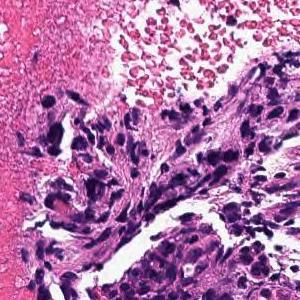
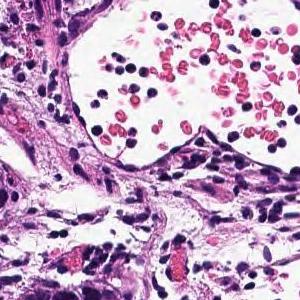
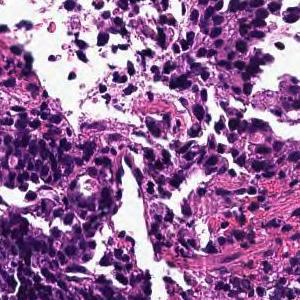
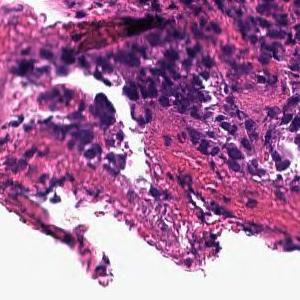
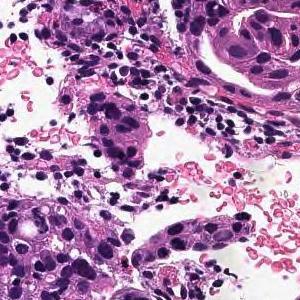
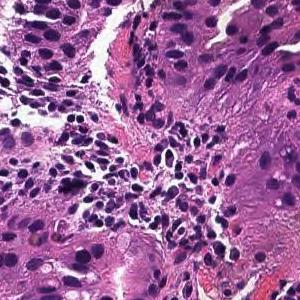
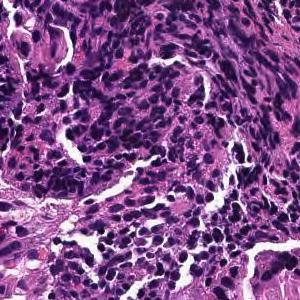
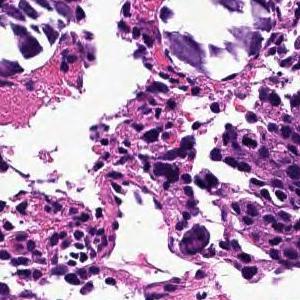
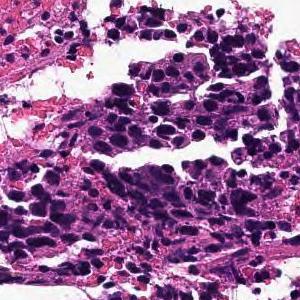
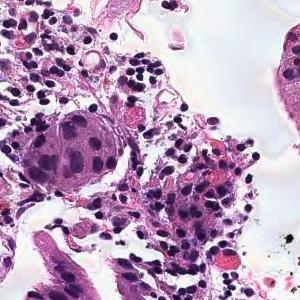
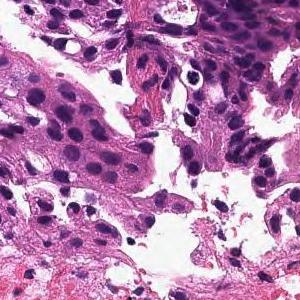
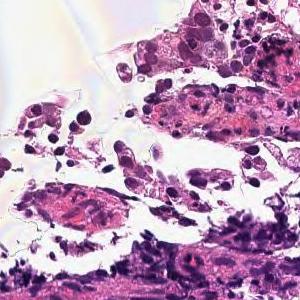
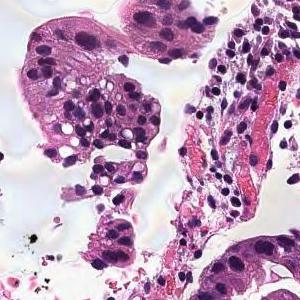
13 patches cut from one gastric biopsy slide; ×20.
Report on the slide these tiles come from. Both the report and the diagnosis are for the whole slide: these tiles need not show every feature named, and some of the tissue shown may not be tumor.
In the superficial epithelium, tumor tissue that invades by forming medium-sized to small, irregular ducts is observed. moderately differentiated tubular adenocarcinoma.
